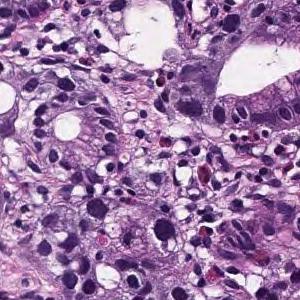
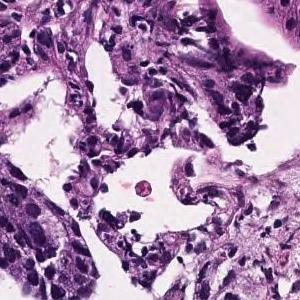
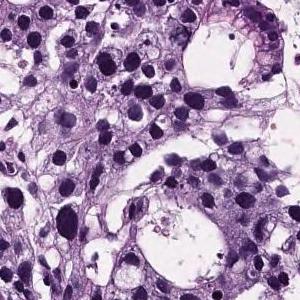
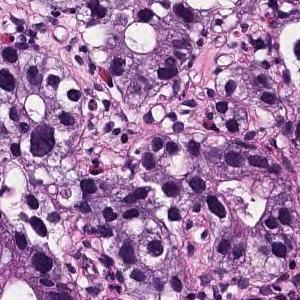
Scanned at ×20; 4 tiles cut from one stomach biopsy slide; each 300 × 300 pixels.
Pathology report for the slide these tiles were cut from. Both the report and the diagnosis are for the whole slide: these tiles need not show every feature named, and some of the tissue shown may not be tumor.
In the superficial epithelium, medium to small irregular gland ducts are formed, and in some cases, the ducts are fused to show solid alveolar lesions and infiltrating tumor tissue is observed. Moderately to poorly differentiated adenocarcinoma
